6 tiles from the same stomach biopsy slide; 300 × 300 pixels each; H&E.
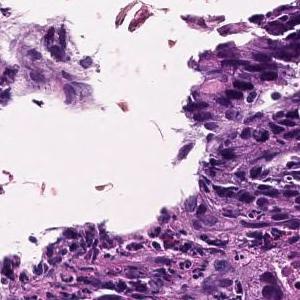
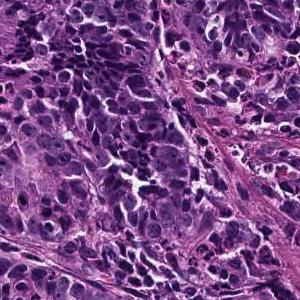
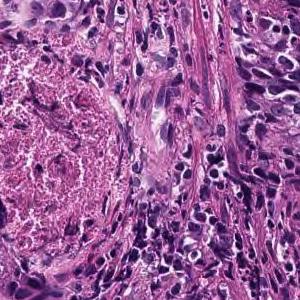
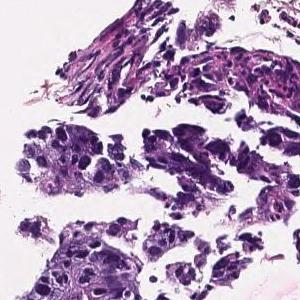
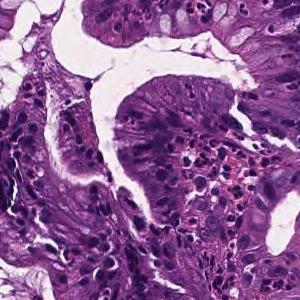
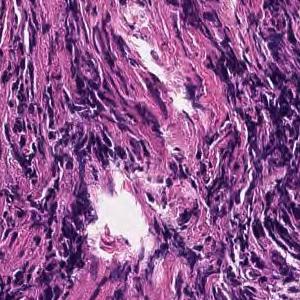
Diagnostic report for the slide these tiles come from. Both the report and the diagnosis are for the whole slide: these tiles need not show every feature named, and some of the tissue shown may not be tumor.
On the superficial epithelium, tumor tissue consisting of large, irregular glandular ducts partially fused and infiltrated is observed. Well to moderately differentiated tubular adenocarcinoma (well differentiated tubular adenocarcinoma, moderately differentiated tubular adenocarcinoma)
Histological subtype: Well to moderately differentiated tubular adenocarcinoma.
